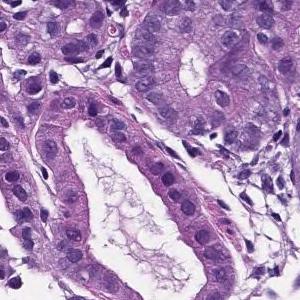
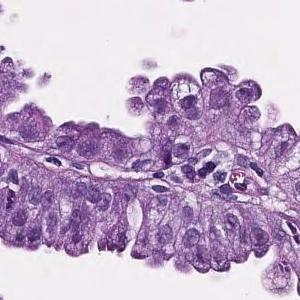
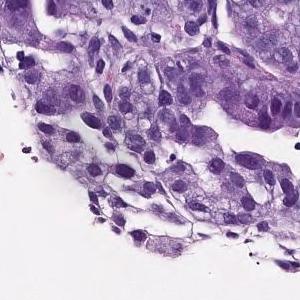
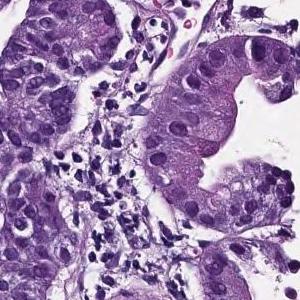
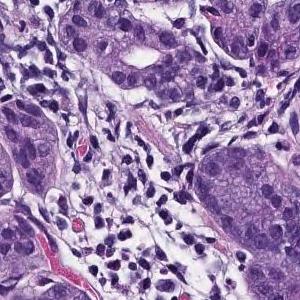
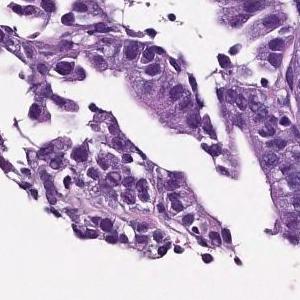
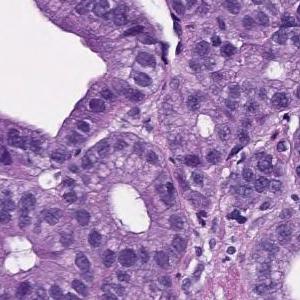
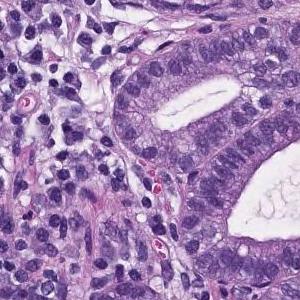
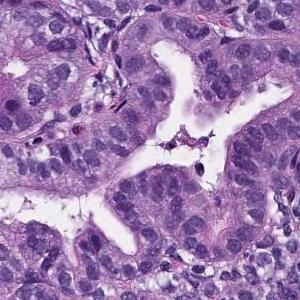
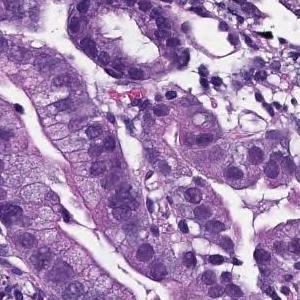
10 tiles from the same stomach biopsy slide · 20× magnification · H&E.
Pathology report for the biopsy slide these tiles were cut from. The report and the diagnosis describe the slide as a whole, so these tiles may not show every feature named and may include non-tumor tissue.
On the superficial epithelium, tumor tissue that infiltrates by forming medium-sized papillary or small irregular ducts is observed. Papillary adenocarcinoma
